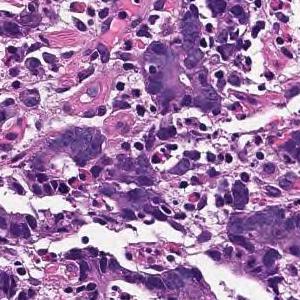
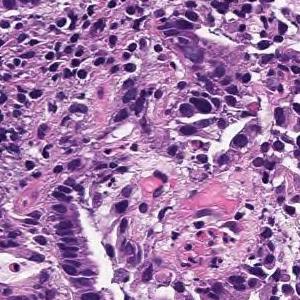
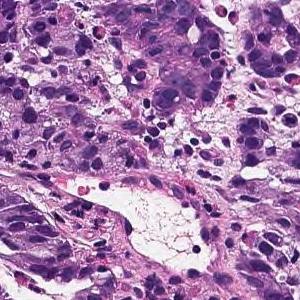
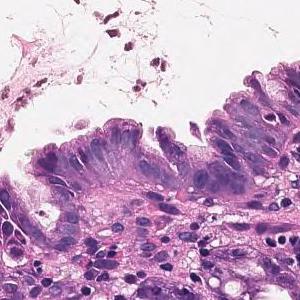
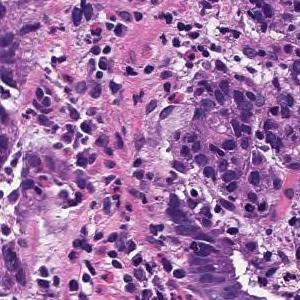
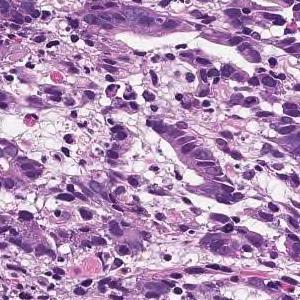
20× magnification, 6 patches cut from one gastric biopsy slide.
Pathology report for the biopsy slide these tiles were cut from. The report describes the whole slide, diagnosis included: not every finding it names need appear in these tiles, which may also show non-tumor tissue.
Tumor tissue consisting of cord-like or small, irregular glandular ducts fused and infiltrated is observed in the superficial epithelium. Poorly differentiated adenocarcinoma, non-solid type
The term "non-solid type" comes from the Japanese Classification of Gastric Carcinoma.
